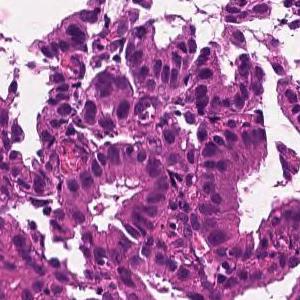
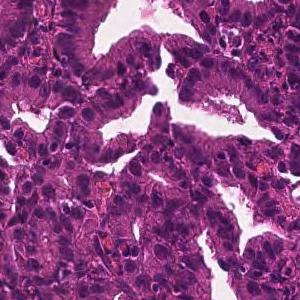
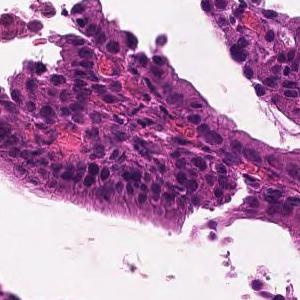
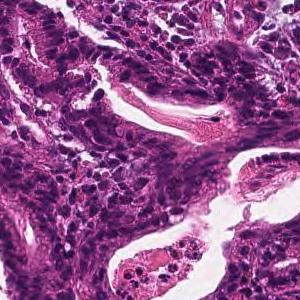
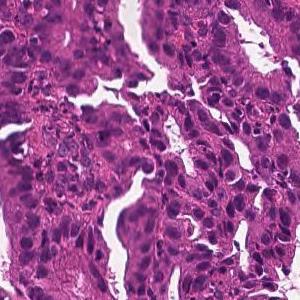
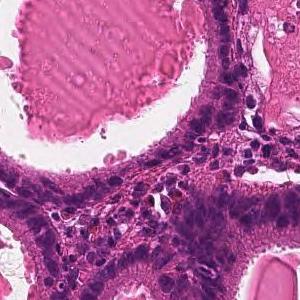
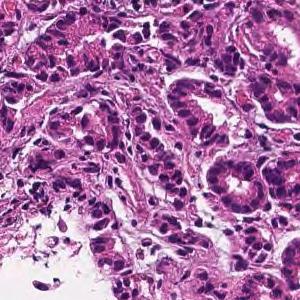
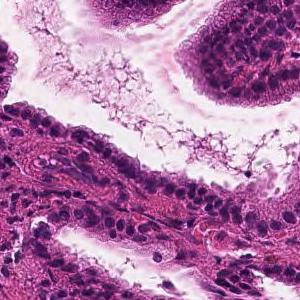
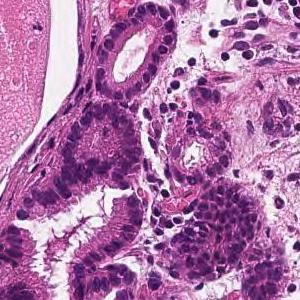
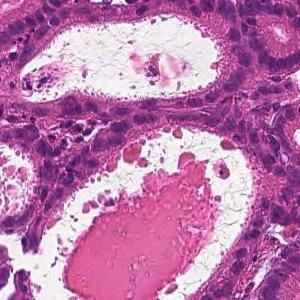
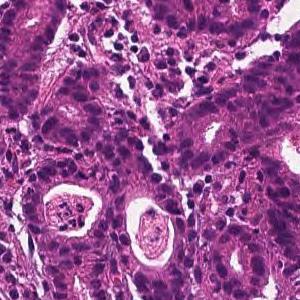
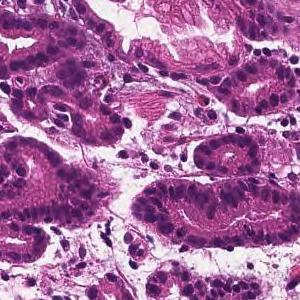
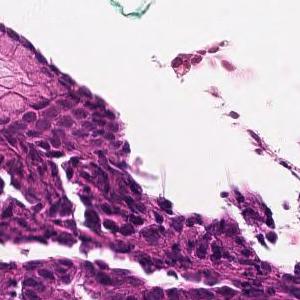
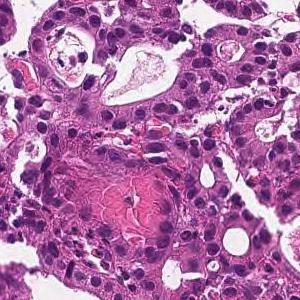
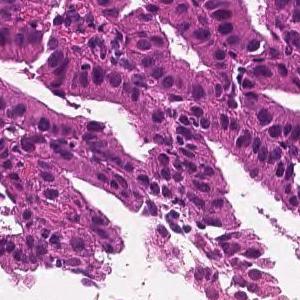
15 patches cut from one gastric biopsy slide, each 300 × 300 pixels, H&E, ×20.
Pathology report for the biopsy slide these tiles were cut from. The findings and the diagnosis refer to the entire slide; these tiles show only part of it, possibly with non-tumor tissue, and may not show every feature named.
From the superficial epithelium to the muscularis mucosae, tumor tissue consisting of medium-sized and irregular glandular ducts infiltrating is observed. Well differentiated tubular adenocarcinoma
